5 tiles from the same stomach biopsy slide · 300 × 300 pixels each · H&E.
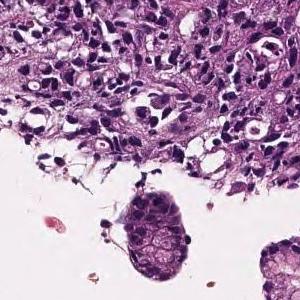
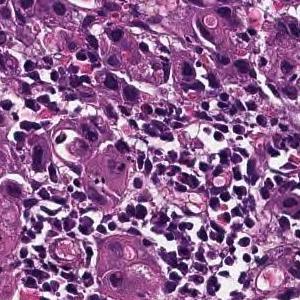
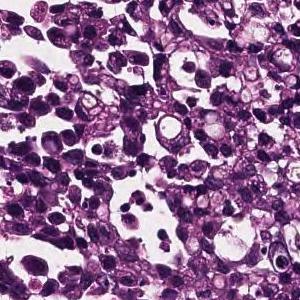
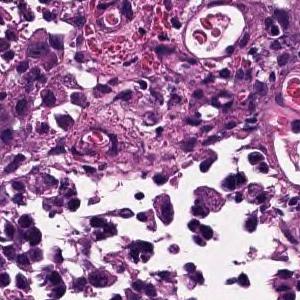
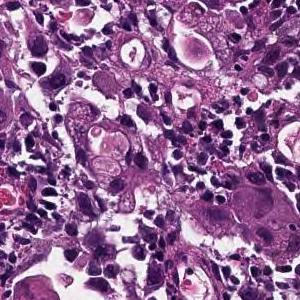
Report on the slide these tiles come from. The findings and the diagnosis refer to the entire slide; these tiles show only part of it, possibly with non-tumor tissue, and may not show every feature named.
The superficial epithelium shows a large sheet-like shape, and some tumor tissue infiltrates with small irregular ducts. Poorly differentiated adenocarcinoma, solid-type
Histologic type: Poorly differentiated adenocarcinoma, solid type (Japanese Classification of Gastric Carcinoma). The WHO 2019 equivalent is tubular adenocarcinoma, poorly differentiated.
